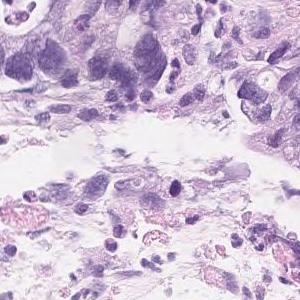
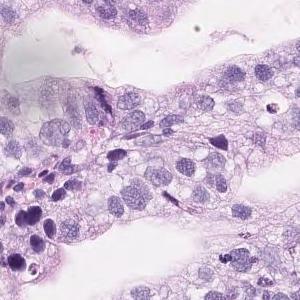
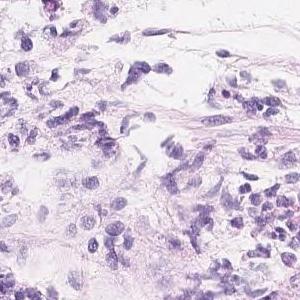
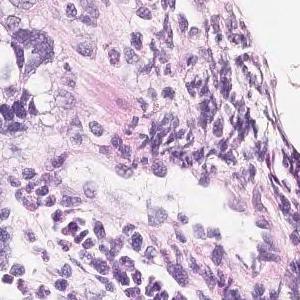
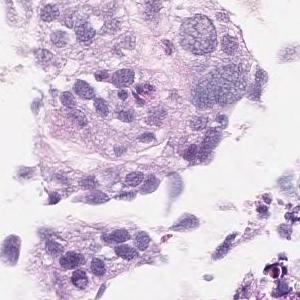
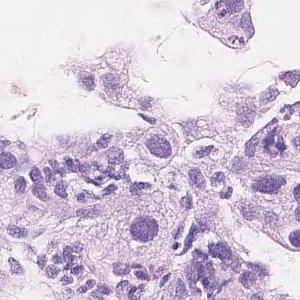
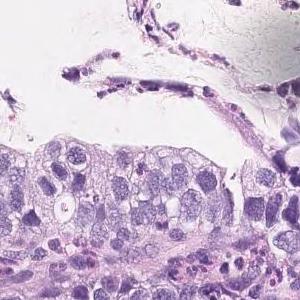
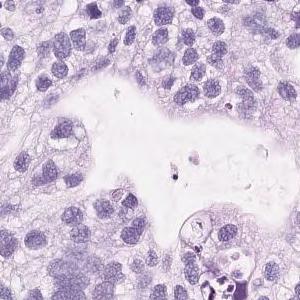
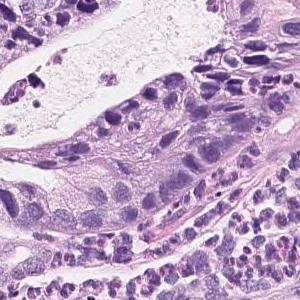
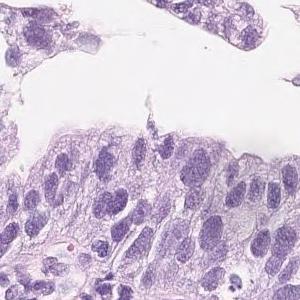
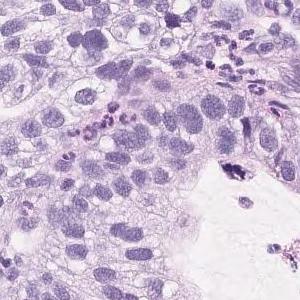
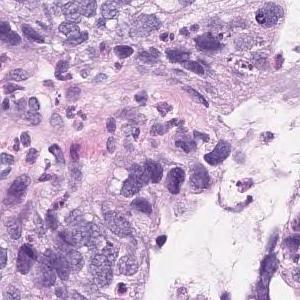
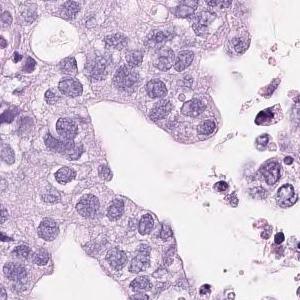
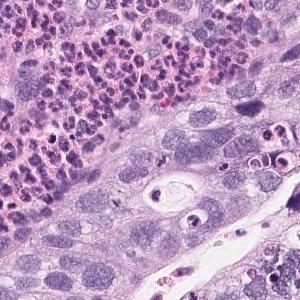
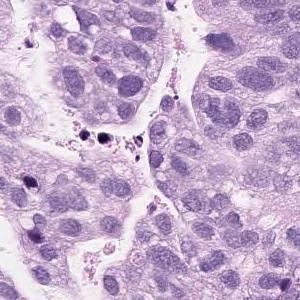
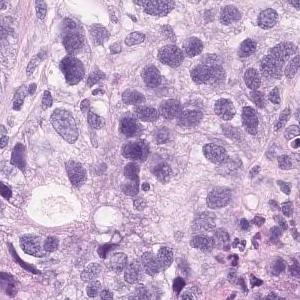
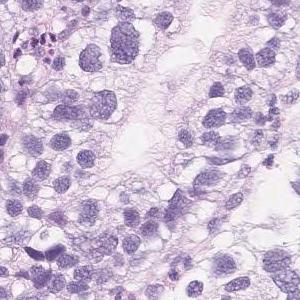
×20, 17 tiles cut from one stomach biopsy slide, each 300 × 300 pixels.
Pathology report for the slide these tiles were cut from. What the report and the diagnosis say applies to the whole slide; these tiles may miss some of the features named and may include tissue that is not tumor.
On the superficial epithelium, tumor tissue consisting of large, irregular glandular ducts partially fused and infiltrated is observed. Well to moderately differentiated tubular adenocarcinoma (well differentiated tubular adenocarcinoma, moderately differentiated tubular adenocarcinoma)
Tumor subtype: well to moderately differentiated tubular adenocarcinoma.
